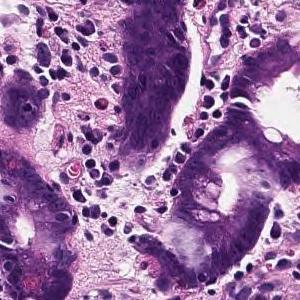
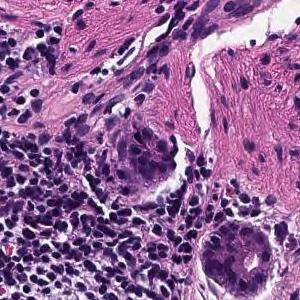
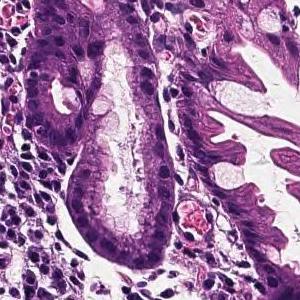
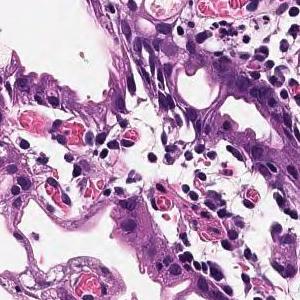
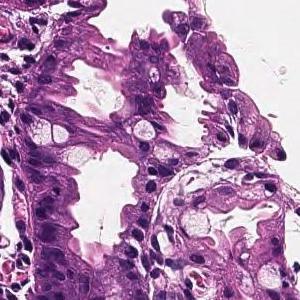
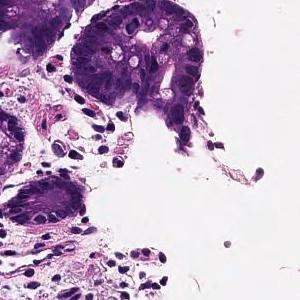
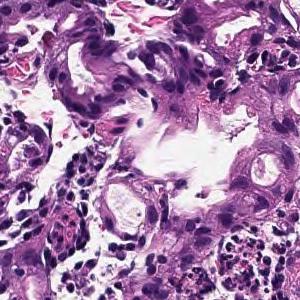
7 tiles cut from one stomach biopsy slide, 20× magnification, H&E.
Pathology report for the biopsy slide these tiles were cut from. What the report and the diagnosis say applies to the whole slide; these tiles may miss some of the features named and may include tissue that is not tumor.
In the superficial epithelium, tumor tissue that invades by forming medium-sized to small, irregular ducts is observed. moderately differentiated tubular adenocarcinoma.
